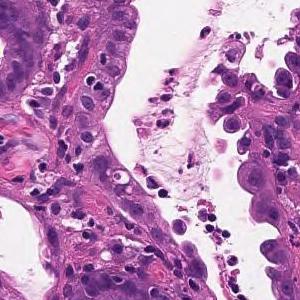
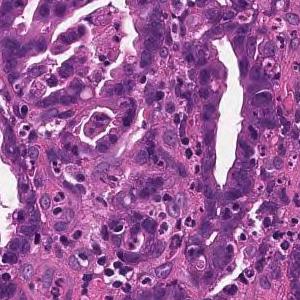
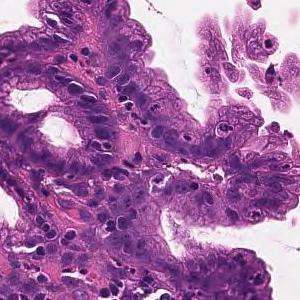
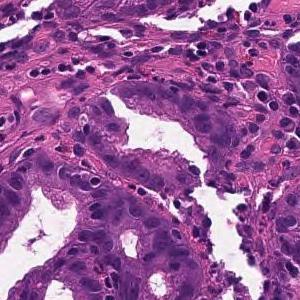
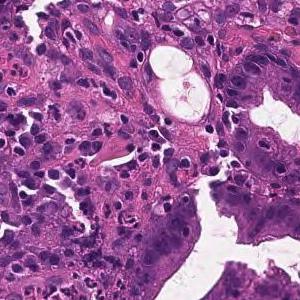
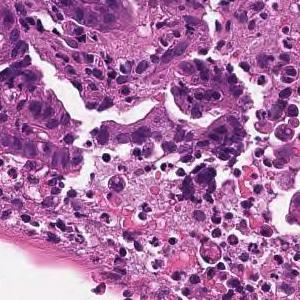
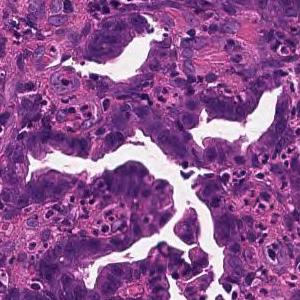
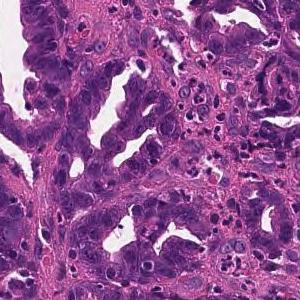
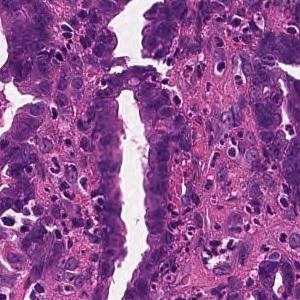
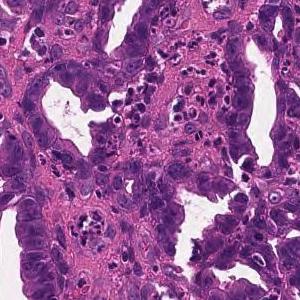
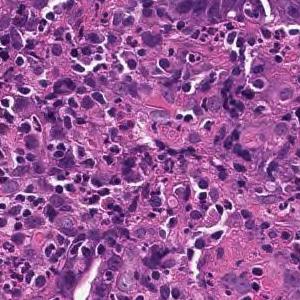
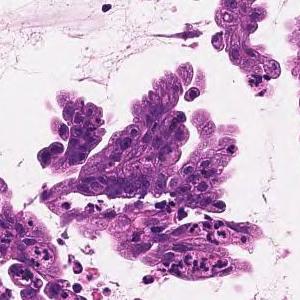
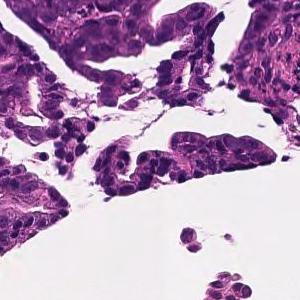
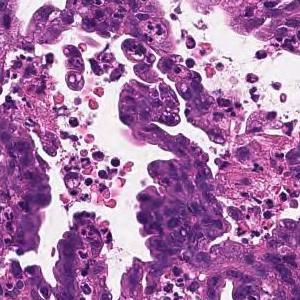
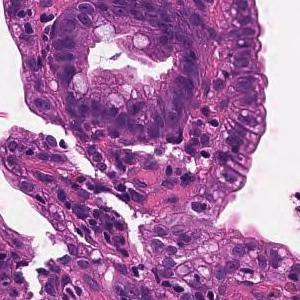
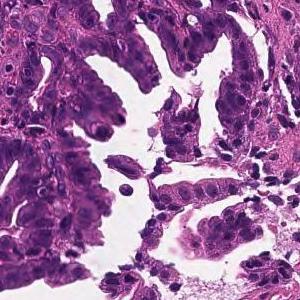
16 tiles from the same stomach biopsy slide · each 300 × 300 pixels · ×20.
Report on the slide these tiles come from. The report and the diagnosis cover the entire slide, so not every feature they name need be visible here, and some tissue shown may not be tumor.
From the superficial epithelium to the muscularis mucosae, tumor tissue consisting of medium-sized and irregular glandular ducts infiltrating is observed. Well differentiated tubular adenocarcinoma
